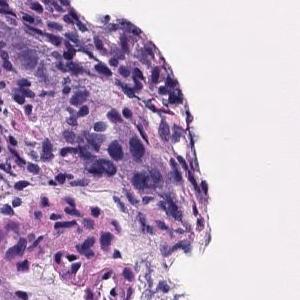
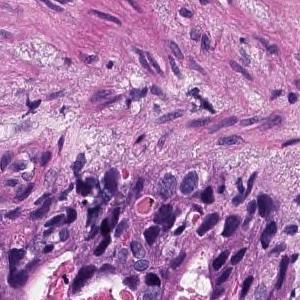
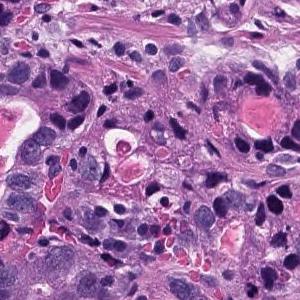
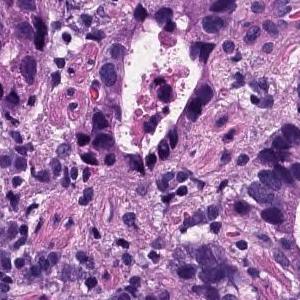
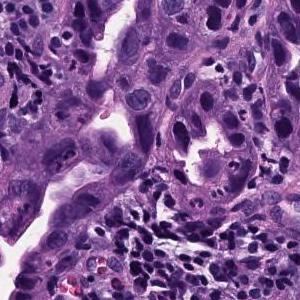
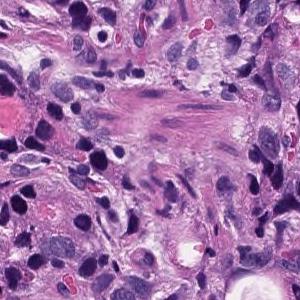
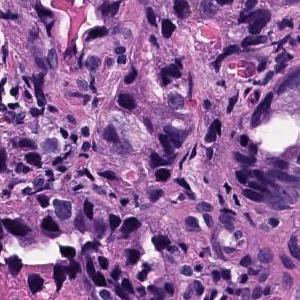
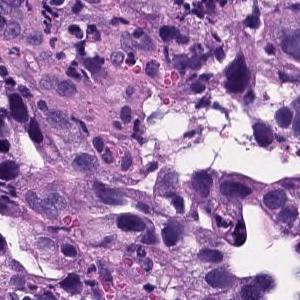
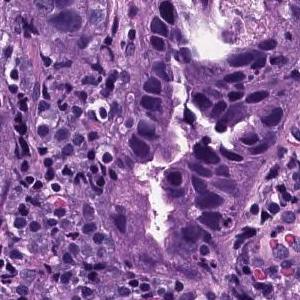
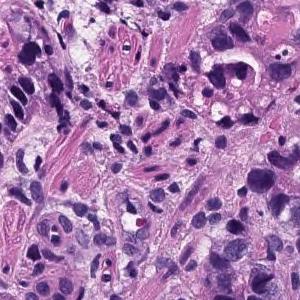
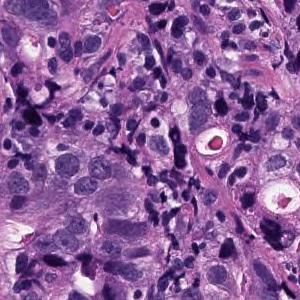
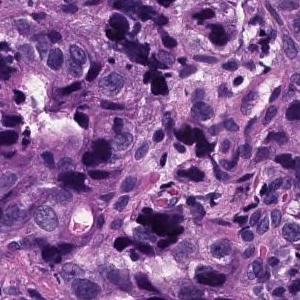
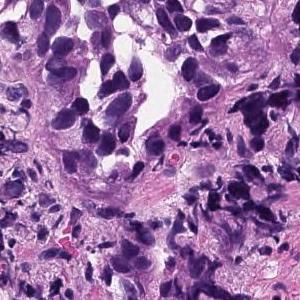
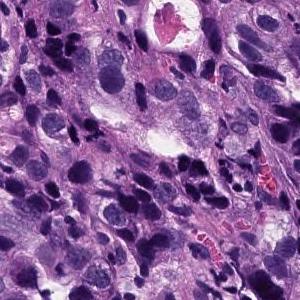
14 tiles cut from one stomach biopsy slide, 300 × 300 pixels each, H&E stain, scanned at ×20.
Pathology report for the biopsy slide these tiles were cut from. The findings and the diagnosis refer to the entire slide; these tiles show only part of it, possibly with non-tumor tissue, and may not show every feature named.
In the epithelium, tumor tissue in which medium to small irregular gland ducts fuse with each other and infiltrate the submucosa. moderately differentiated tubular adenocarcinoma
